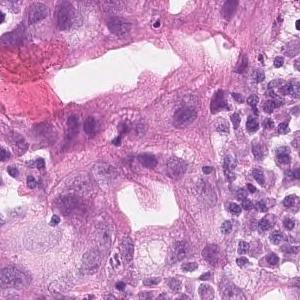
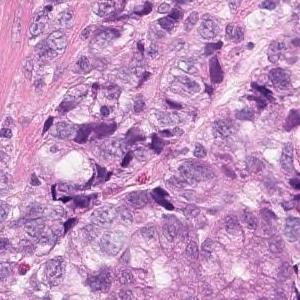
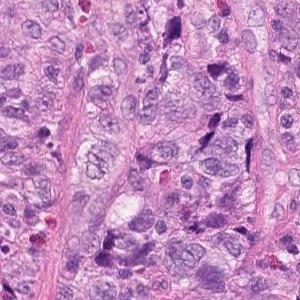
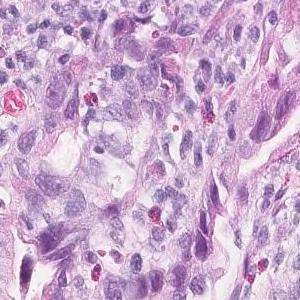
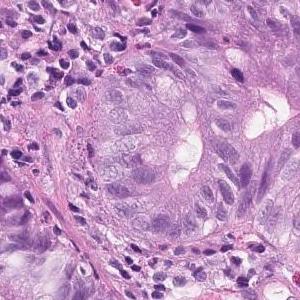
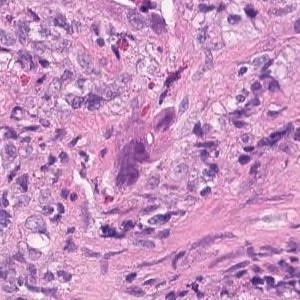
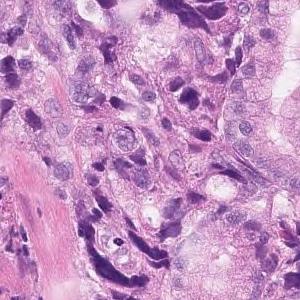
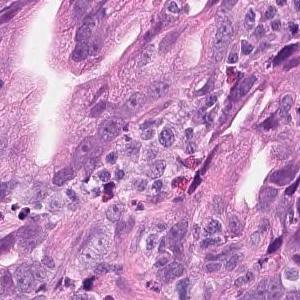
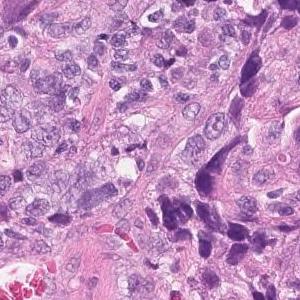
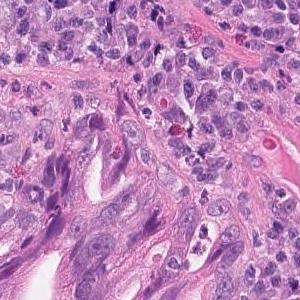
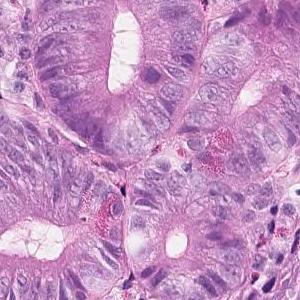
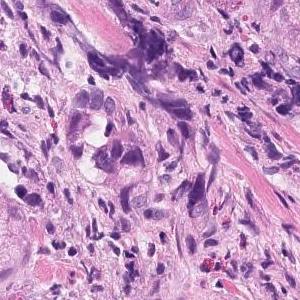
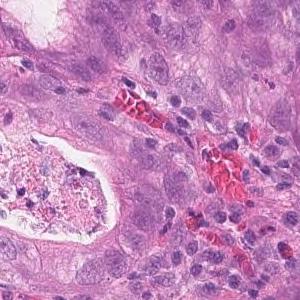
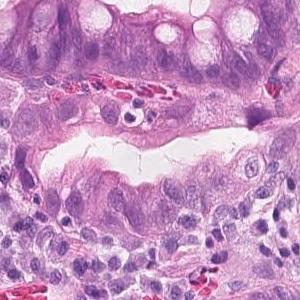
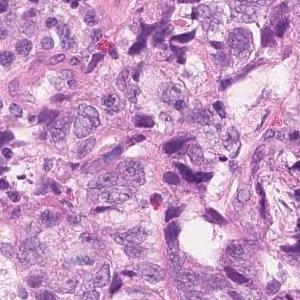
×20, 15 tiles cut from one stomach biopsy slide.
Report on the slide these tiles come from. The report and the diagnosis describe the slide as a whole, so these tiles may not show every feature named and may include non-tumor tissue.
Tumor tissue showing dense, fused or diffuse, and infiltrative growth of small atypical ducts is observed. moderately differentiated tubular adenocarcinoma
